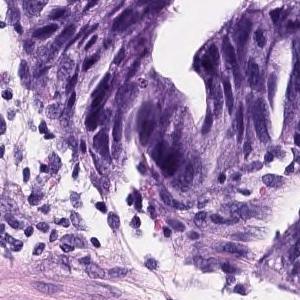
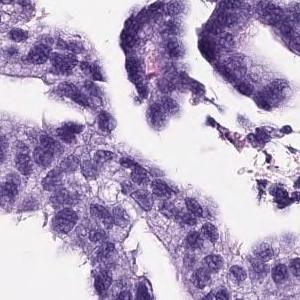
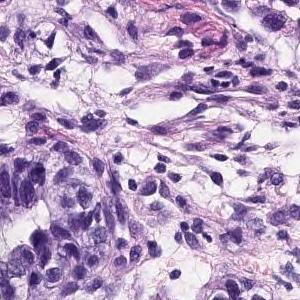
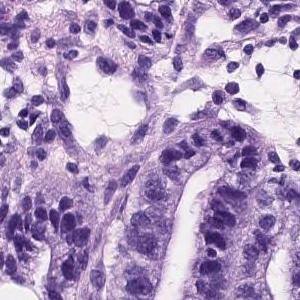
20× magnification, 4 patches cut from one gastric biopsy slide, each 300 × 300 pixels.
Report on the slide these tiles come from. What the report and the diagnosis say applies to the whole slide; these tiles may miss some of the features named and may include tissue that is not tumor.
On the superficial epithelium, tumor tissue consisting of medium to small irregular tubules partially fused and proliferated is observed. moderately differentiated tubular adenocarcinoma
